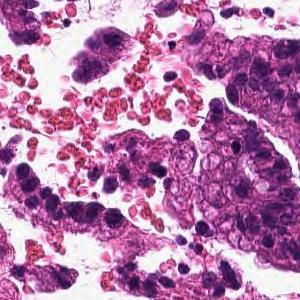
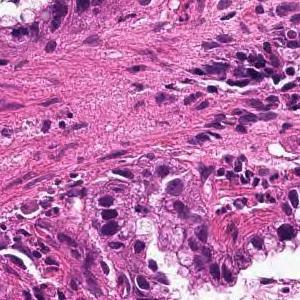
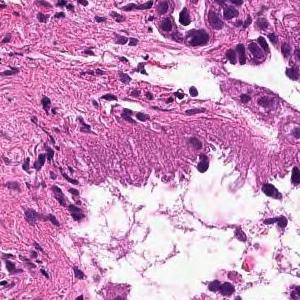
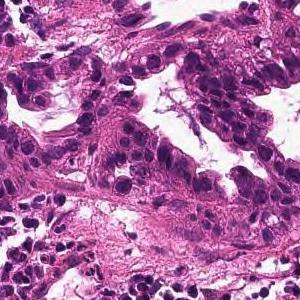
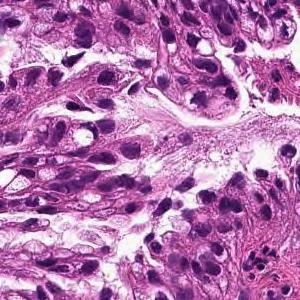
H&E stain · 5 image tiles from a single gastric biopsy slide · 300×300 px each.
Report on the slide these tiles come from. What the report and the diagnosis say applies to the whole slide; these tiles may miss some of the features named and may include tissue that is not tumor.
From the superficial epithelium to the muscularis mucosae, tumor tissue infiltrating by forming medium-sized irregular gland ducts is observed. Well differentiated tubular adenocarcinoma
